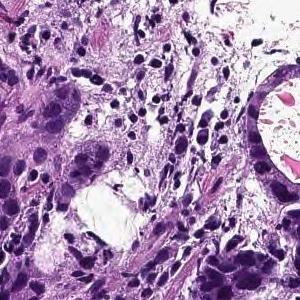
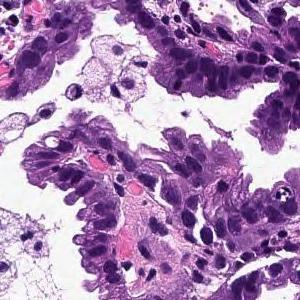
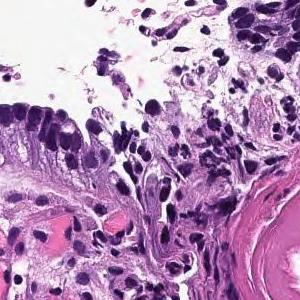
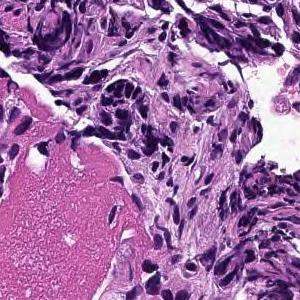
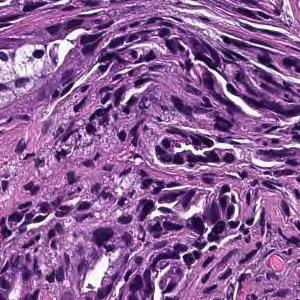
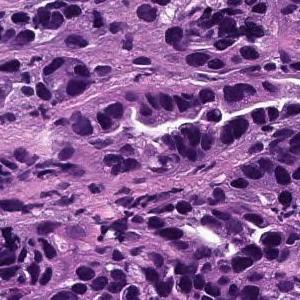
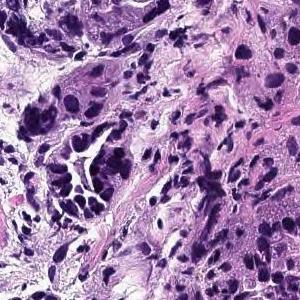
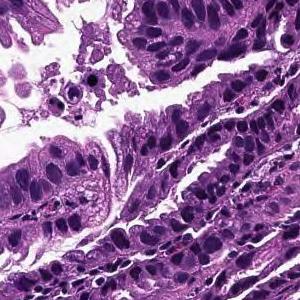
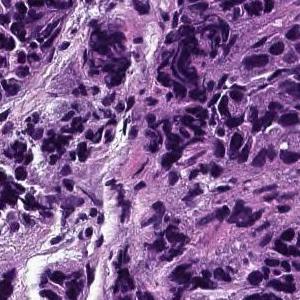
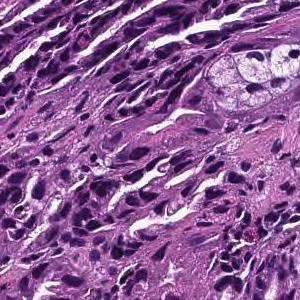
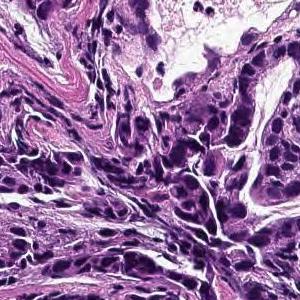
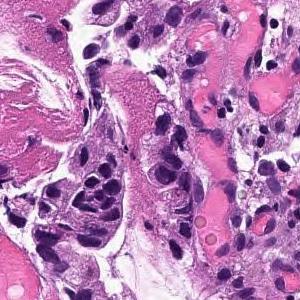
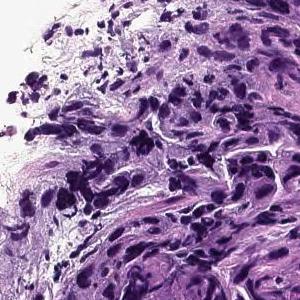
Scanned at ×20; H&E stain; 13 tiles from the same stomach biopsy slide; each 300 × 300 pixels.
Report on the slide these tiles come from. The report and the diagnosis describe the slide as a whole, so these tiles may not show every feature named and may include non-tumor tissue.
Tumor cells are large, highly columnar, large club-shaped nuclei, and are associated with chromatin aggregation. Papillary adenocarcinoma.
